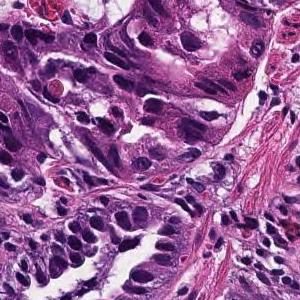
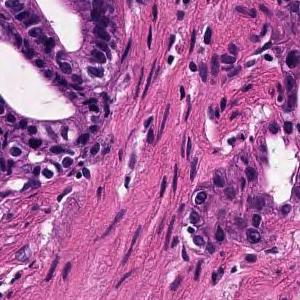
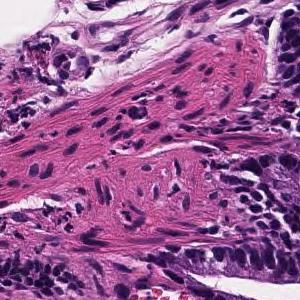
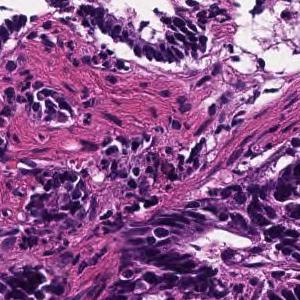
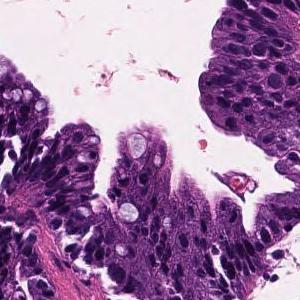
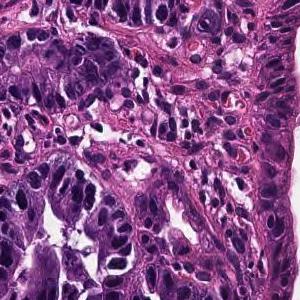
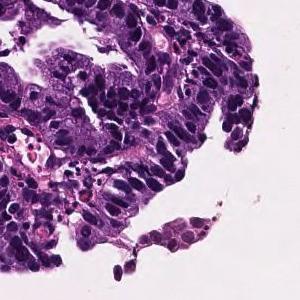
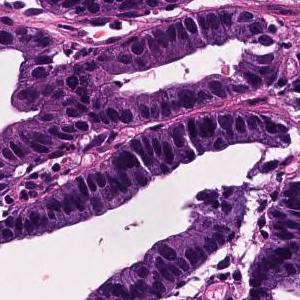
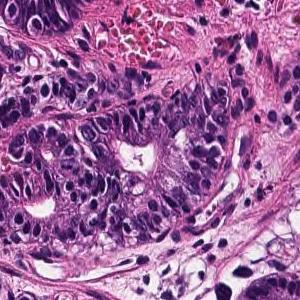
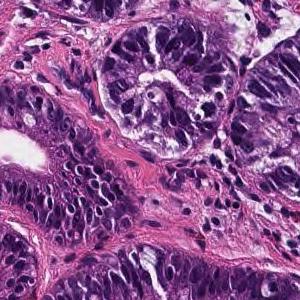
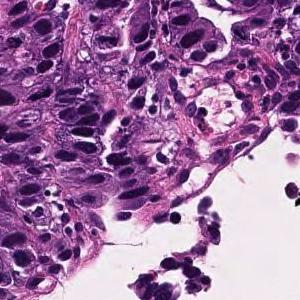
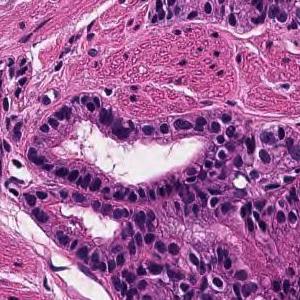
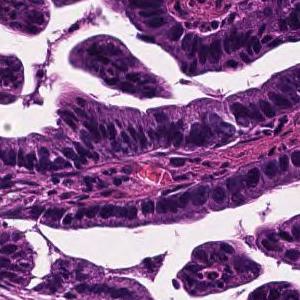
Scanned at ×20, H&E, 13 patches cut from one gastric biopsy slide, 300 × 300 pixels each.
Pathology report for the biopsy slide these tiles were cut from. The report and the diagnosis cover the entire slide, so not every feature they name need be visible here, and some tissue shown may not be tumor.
Tumor cells are large, highly columnar, large club-shaped nuclei, and are associated with chromatin aggregation. Papillary adenocarcinoma.
